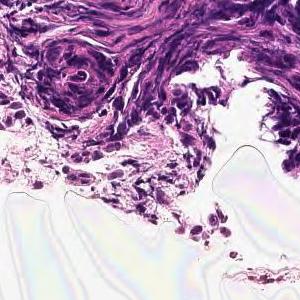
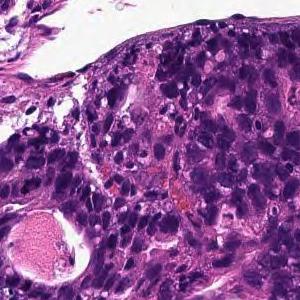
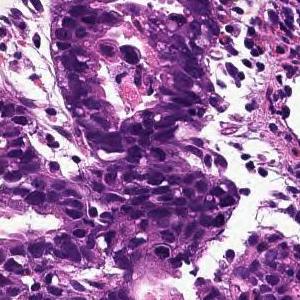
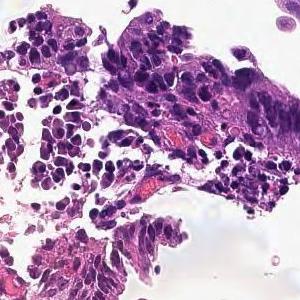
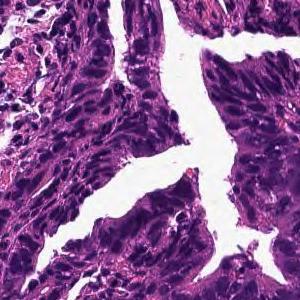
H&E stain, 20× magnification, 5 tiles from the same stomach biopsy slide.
Pathology report for the slide these tiles were cut from. Both the report and the diagnosis are for the whole slide: these tiles need not show every feature named, and some of the tissue shown may not be tumor.
In the superficial epithelium, tumor tissue that invades by forming medium-sized to small, irregular ducts is observed. moderately differentiated tubular adenocarcinoma.
